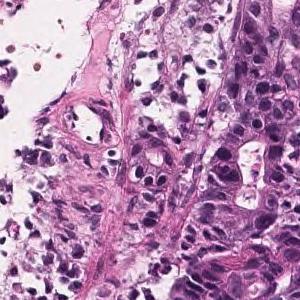
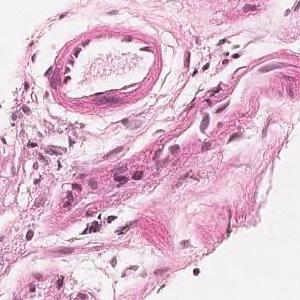
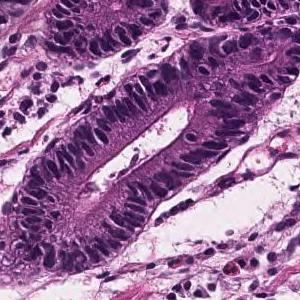
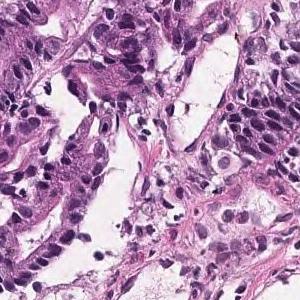
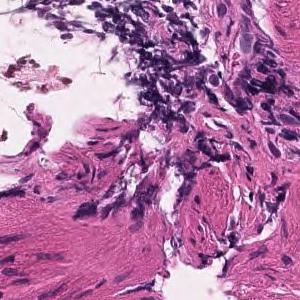
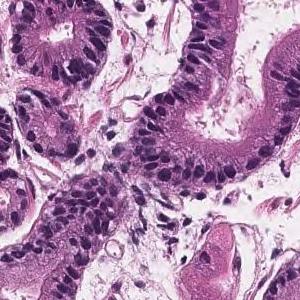
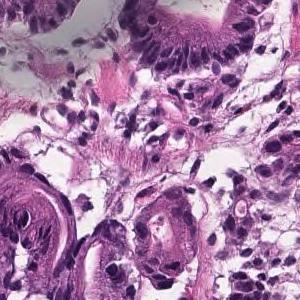
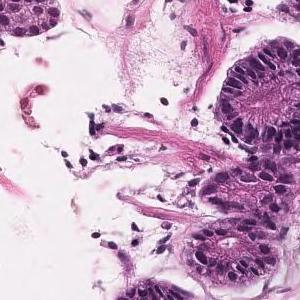
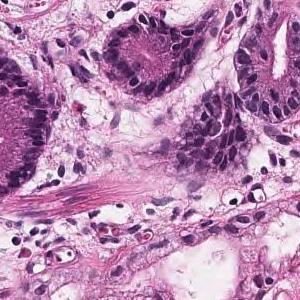
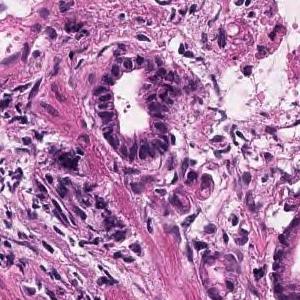
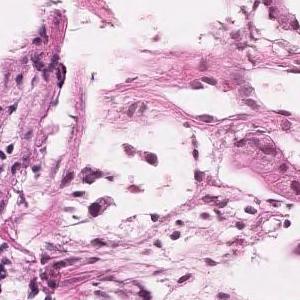
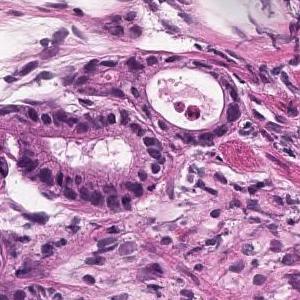
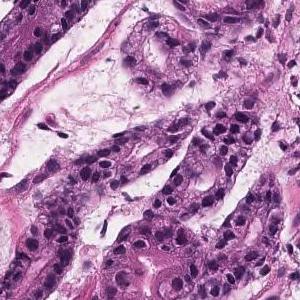
13 tiles from the same stomach biopsy slide; H&E stain.
Diagnostic report for the slide these tiles come from. The report and the diagnosis cover the entire slide, so not every feature they name need be visible here, and some tissue shown may not be tumor.
Tumor tissue with atypical epithelium showing irregular ductal or sieving ductal structure and proliferating is observed. Well to moderately differentiated tubular adenocarcinoma (well differentiated tubular adenocarcinoma-moderately differentiated tubular adenocarcinoma)
Histological subtype: Well to moderately differentiated tubular adenocarcinoma.
